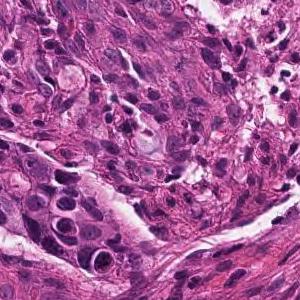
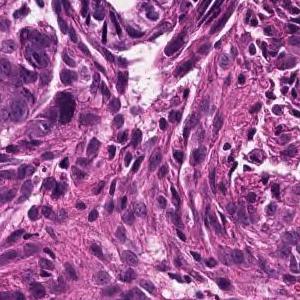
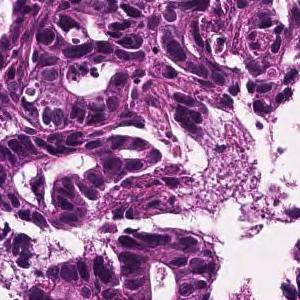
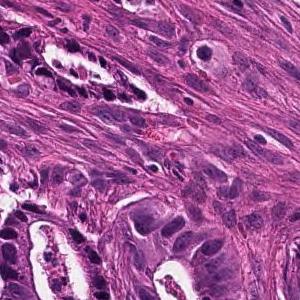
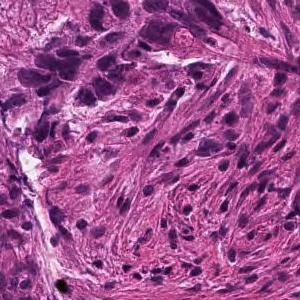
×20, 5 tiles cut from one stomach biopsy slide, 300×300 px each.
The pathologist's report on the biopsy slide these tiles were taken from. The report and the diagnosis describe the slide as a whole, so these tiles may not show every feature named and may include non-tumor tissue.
In the superficial epithelium, tumor tissue that invades by forming medium-sized to small, irregular ducts is observed. moderately differentiated tubular adenocarcinoma.
